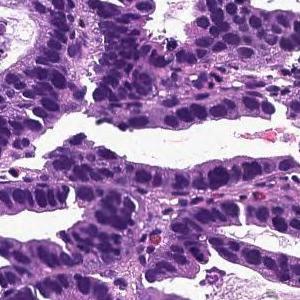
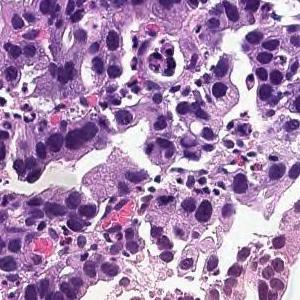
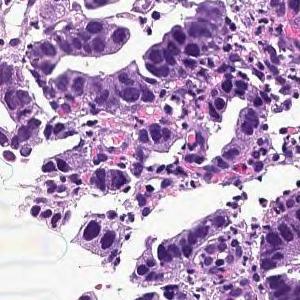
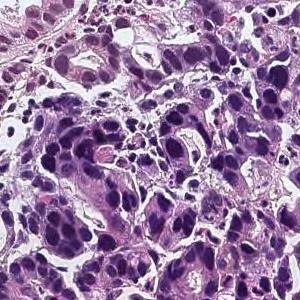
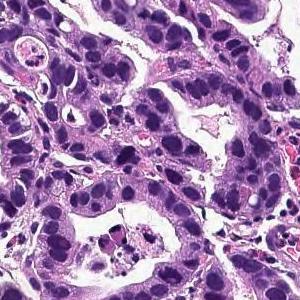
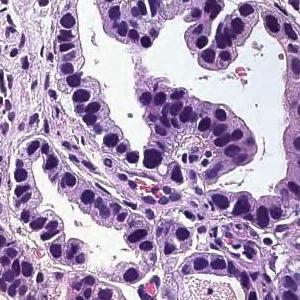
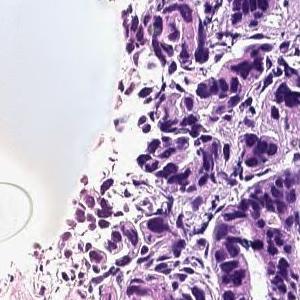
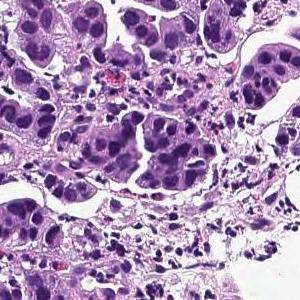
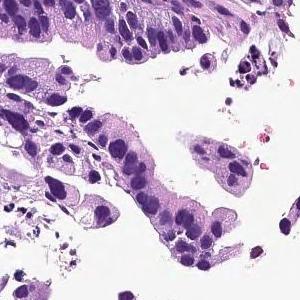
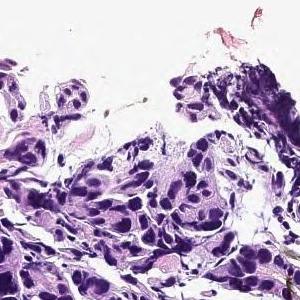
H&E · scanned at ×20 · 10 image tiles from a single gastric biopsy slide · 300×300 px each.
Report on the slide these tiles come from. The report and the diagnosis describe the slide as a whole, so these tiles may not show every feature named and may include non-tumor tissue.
On the superficial epithelium, tumor tissue consisting of large irregular glandular ducts partially fused and infiltrated is observed. Well to moderately differentiated tubular adenocarcinoma (well differentiated tubular adenocarcinoma, moderately differentiated tubular adenocarcinoma)
Histological subtype: Well to moderately differentiated tubular adenocarcinoma.
